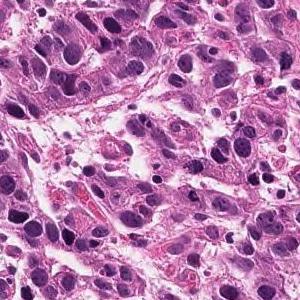
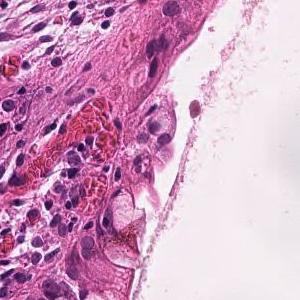
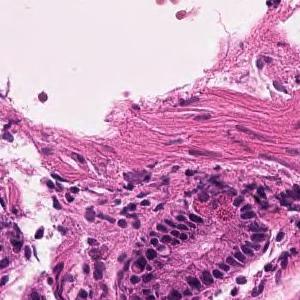
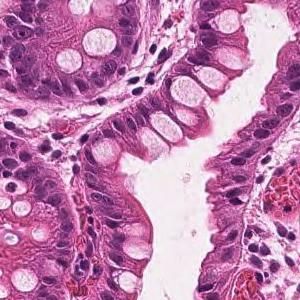
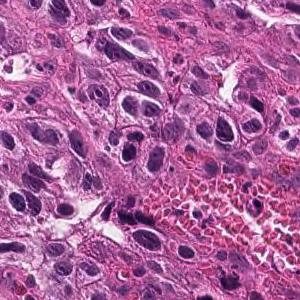
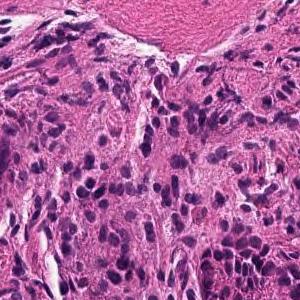
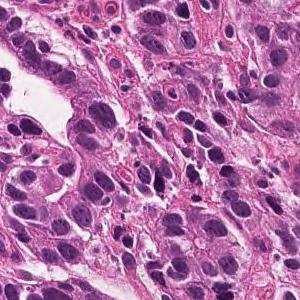
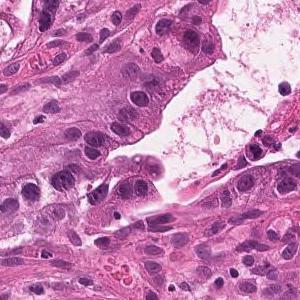
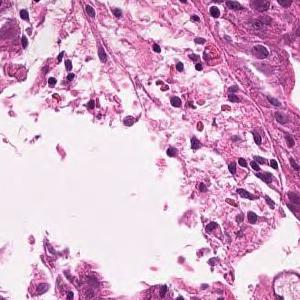
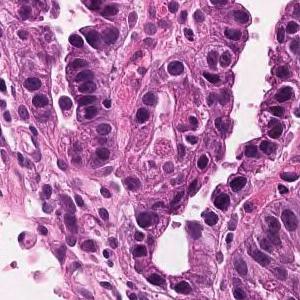
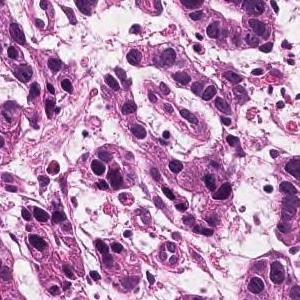
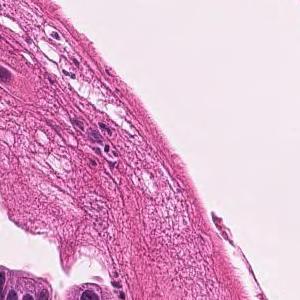
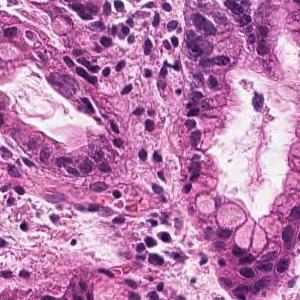
13 patches cut from one gastric biopsy slide, ×20.
Pathology report for the slide these tiles were cut from. What the report and the diagnosis say applies to the whole slide; these tiles may miss some of the features named and may include tissue that is not tumor.
Tumor tissue consisting of medium-sized, cord-like or irregular glandular infiltration is observed in the superficial epithelium. Poorly differentiated adenocarcinoma, non-solid type or moderately differentiated tubular adenocarcinoma
Subtype: Moderately to poorly differentiated adenocarcinoma.
The non-solid type named here is a Japanese Classification of Gastric Carcinoma category.
